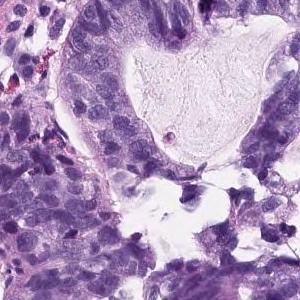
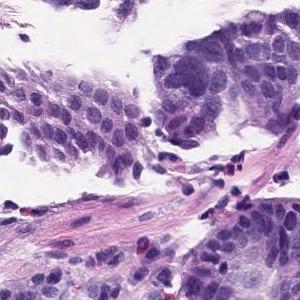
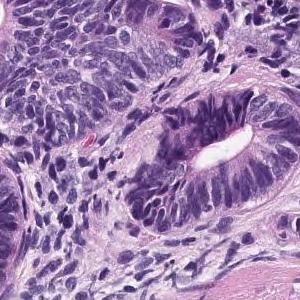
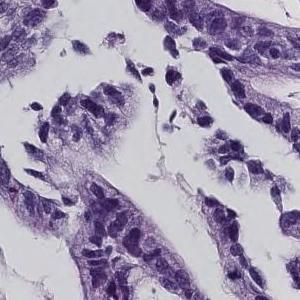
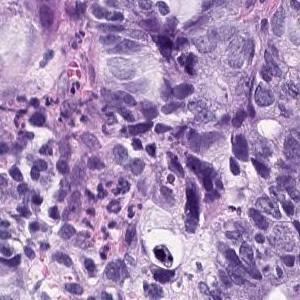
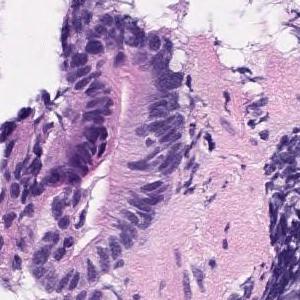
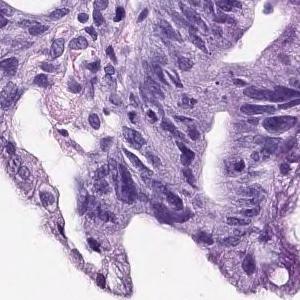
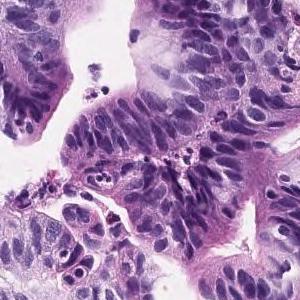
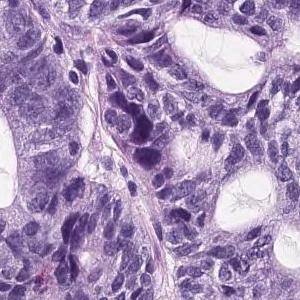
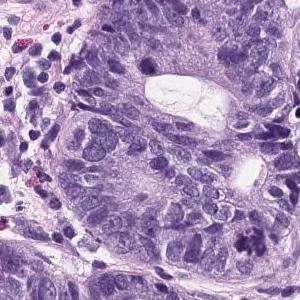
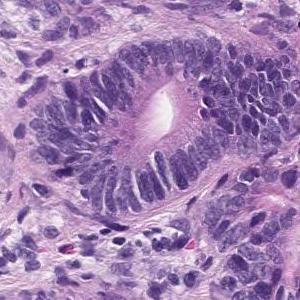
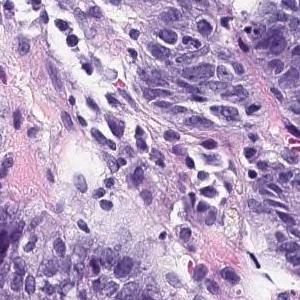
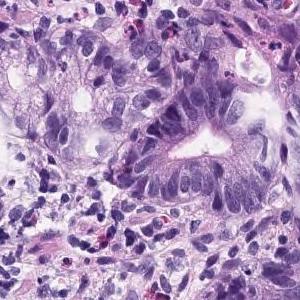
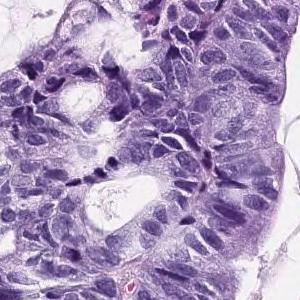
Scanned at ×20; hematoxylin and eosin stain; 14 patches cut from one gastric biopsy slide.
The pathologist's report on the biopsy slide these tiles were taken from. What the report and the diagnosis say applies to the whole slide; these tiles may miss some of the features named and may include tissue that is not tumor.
On the superficial epithelium, tumor tissue consisting of medium-sized to large-sized, round or irregular glandular duct growth images is observed. Well differentiated adenocarcinoma.
Tumor subtype: well differentiated tubular adenocarcinoma.
